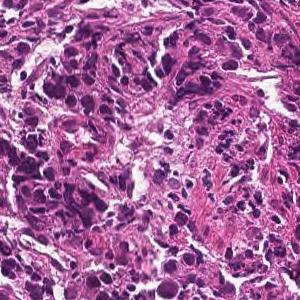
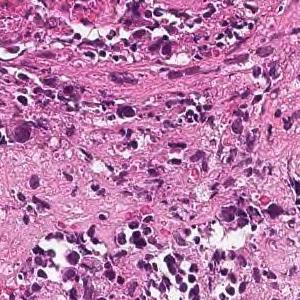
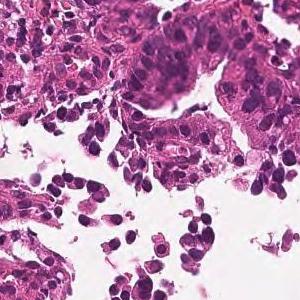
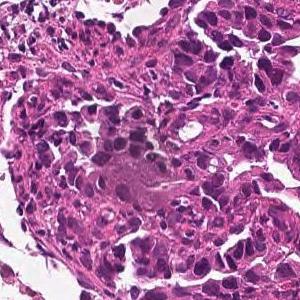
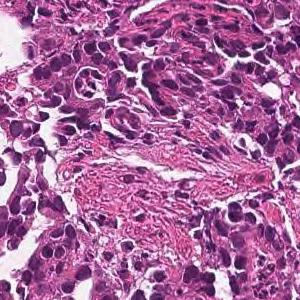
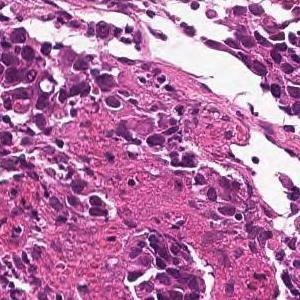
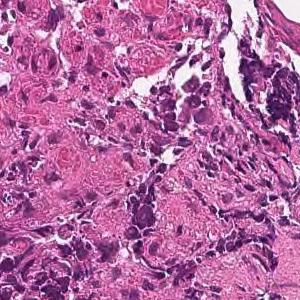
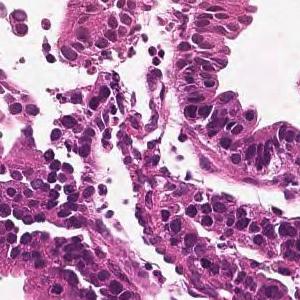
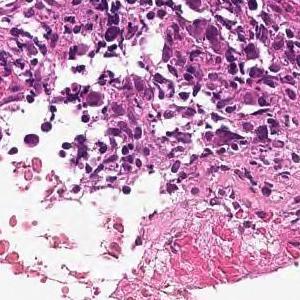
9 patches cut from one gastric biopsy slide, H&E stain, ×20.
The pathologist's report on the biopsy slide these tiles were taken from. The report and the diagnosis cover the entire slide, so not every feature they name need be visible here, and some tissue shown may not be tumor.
Tumor tissue consisting of medium-sized, cord-like or irregular glandular infiltration is observed in the superficial epithelium. Poorly differentiated adenocarcinoma, non-solid type or moderately differentiated tubular adenocarcinoma
Classified as moderately to poorly differentiated adenocarcinoma.
The term "non-solid type" comes from the Japanese Classification of Gastric Carcinoma.
